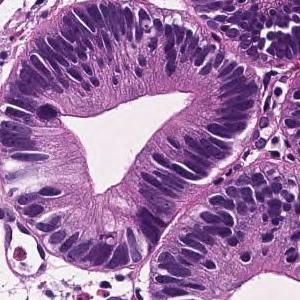
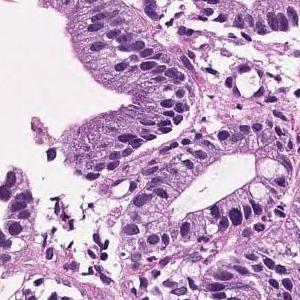
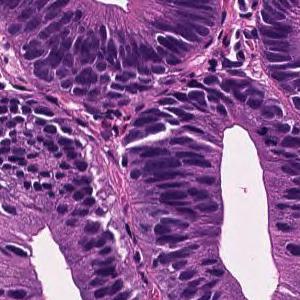
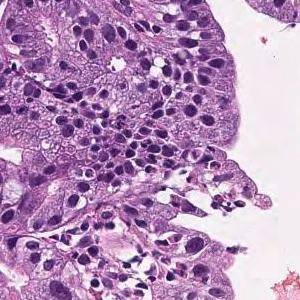
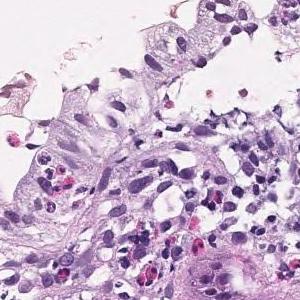
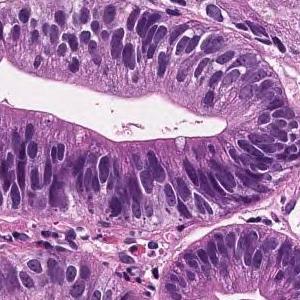
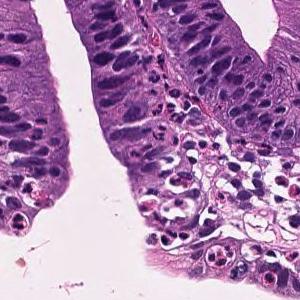
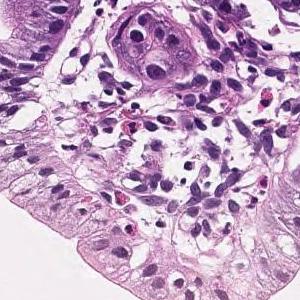
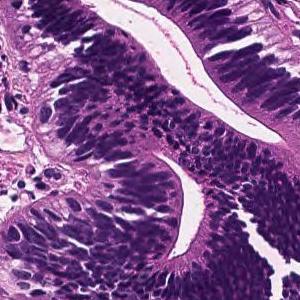
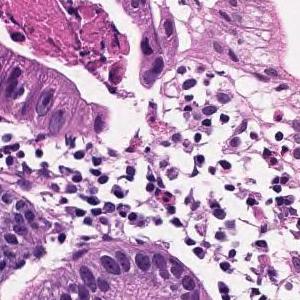
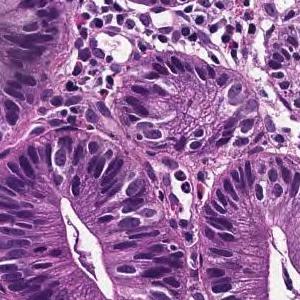
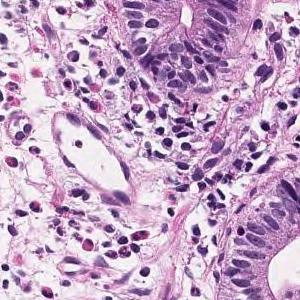
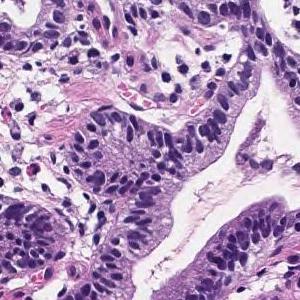
13 tiles cut from one stomach biopsy slide · 300×300 px each · ×20.
Pathology report for the biopsy slide these tiles were cut from. The report describes the whole slide, diagnosis included: not every finding it names need appear in these tiles, which may also show non-tumor tissue.
In the superficial epithelium, tumor tissue that invades by forming medium-sized to small, irregular ducts is observed. Well differentiated tubular adenocarcinoma.
